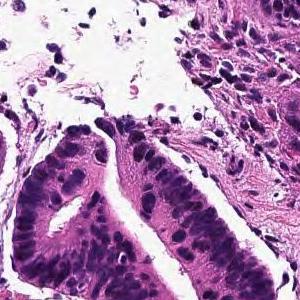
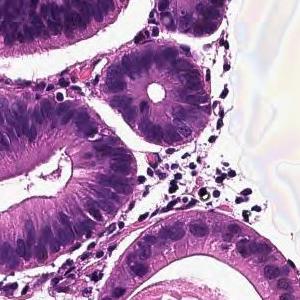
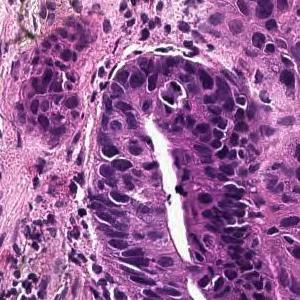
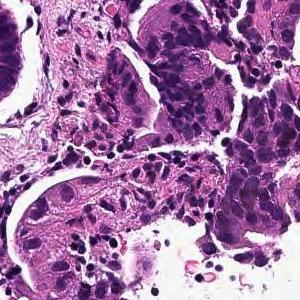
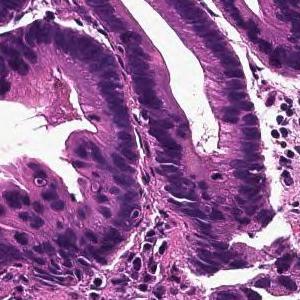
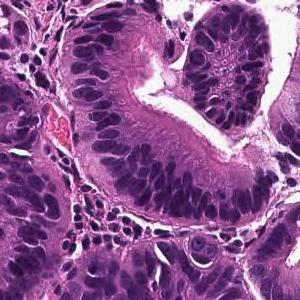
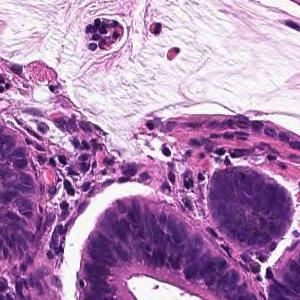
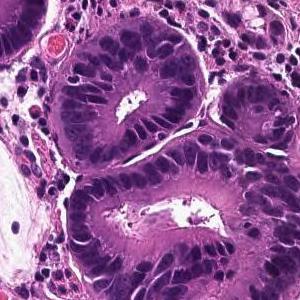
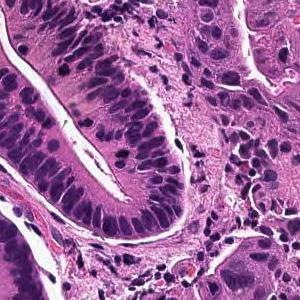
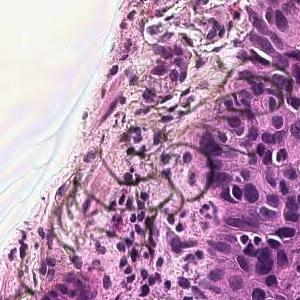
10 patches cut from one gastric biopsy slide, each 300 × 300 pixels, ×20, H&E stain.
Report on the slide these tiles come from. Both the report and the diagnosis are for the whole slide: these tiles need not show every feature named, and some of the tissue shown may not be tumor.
From the superficial epithelium to the muscularis mucosae, tumor tissue consisting of medium-sized and irregular glandular ducts infiltrating is observed. Well differentiated tubular adenocarcinoma
